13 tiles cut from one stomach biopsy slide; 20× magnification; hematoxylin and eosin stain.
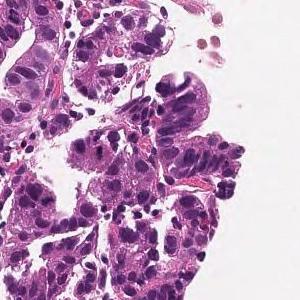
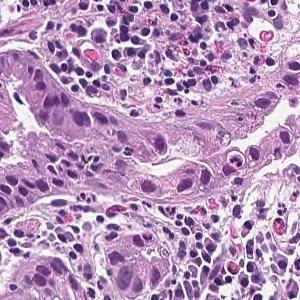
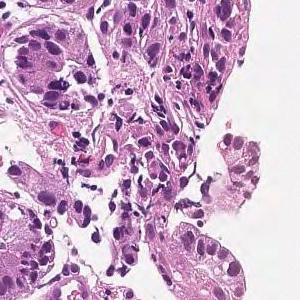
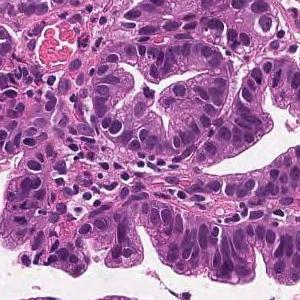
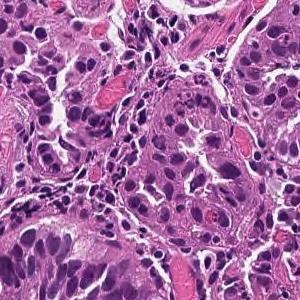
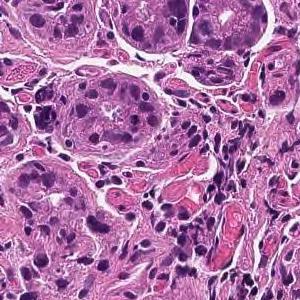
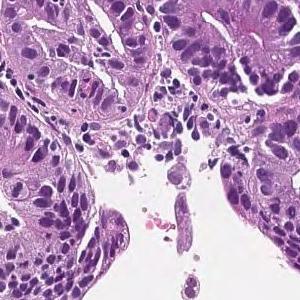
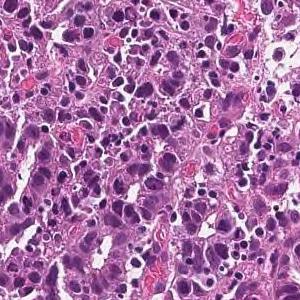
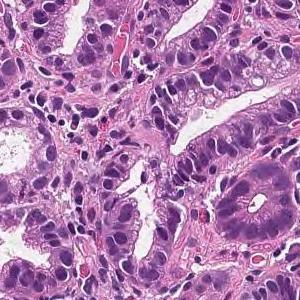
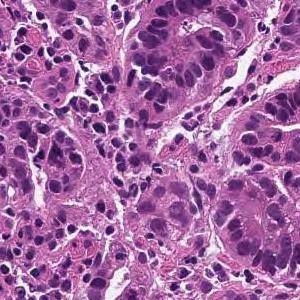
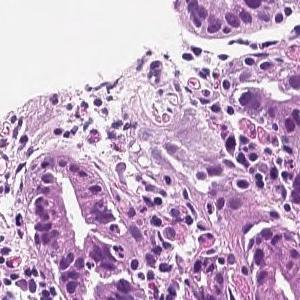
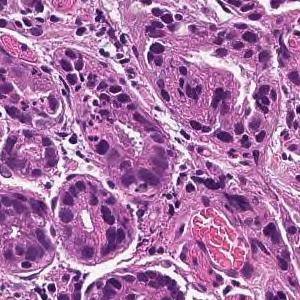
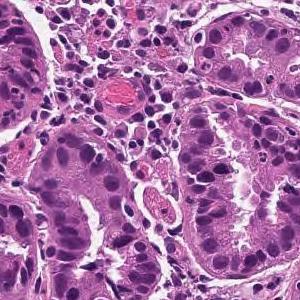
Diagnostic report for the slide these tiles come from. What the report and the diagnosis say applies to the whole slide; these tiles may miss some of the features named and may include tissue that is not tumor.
On the superficial epithelium, tumor tissue consisting of large irregular glandular ducts partially fused and infiltrated is observed. Well to moderately differentiated tubular adenocarcinoma (well differentiated tubular adenocarcinoma, moderately differentiated tubular adenocarcinoma)
Classified as well to moderately differentiated tubular adenocarcinoma.
